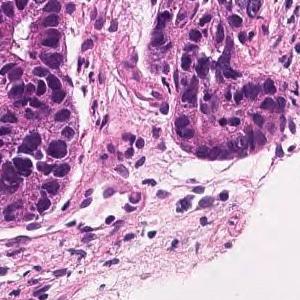
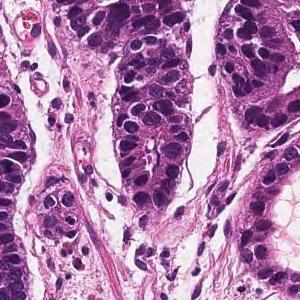
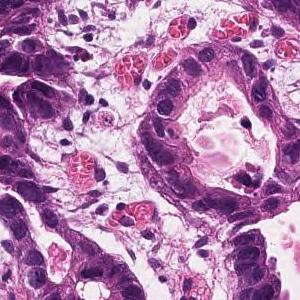
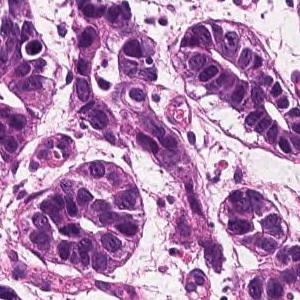
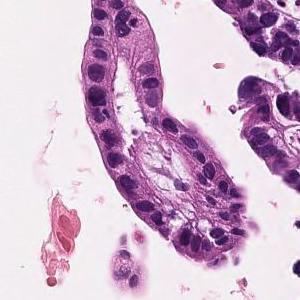
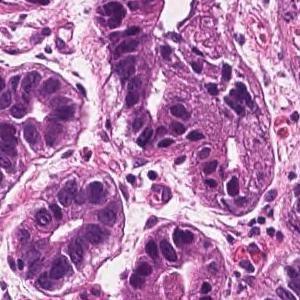
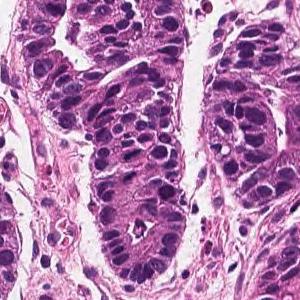
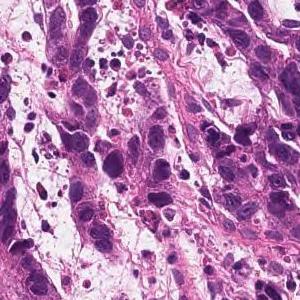
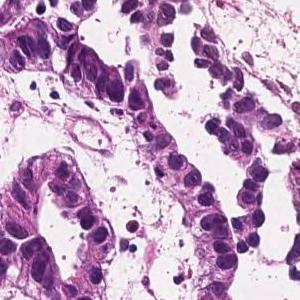
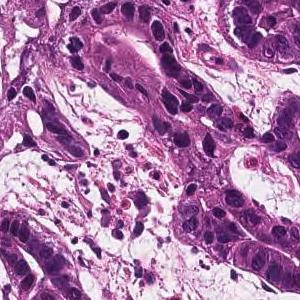
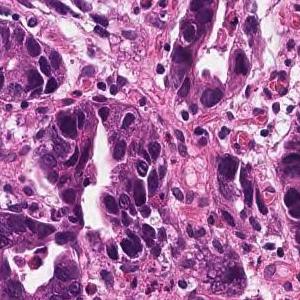
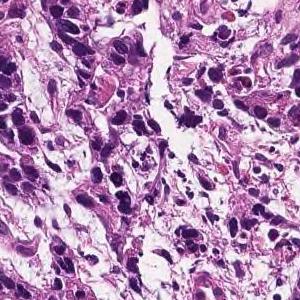
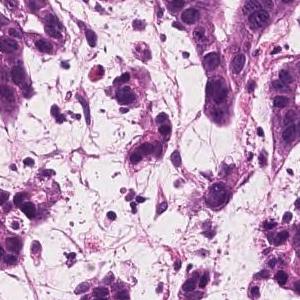
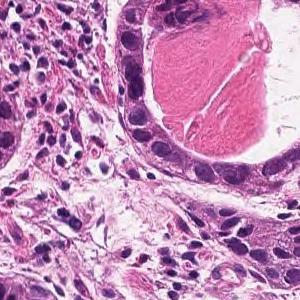
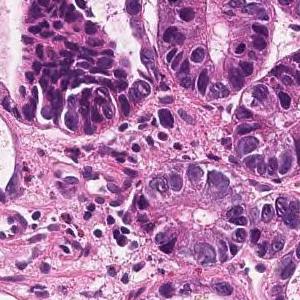
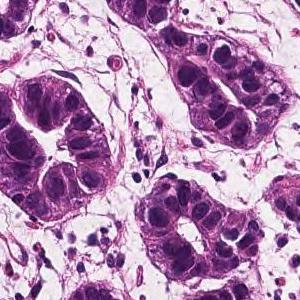
16 tiles cut from one stomach biopsy slide · each 300 × 300 pixels · scanned at ×20.
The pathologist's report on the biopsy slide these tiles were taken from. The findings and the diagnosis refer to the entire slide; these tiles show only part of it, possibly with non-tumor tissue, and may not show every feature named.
In the superficial epithelium, tumor tissue that invades by forming medium-sized to small, irregular ducts is observed. Well differentiated tubular adenocarcinoma.
